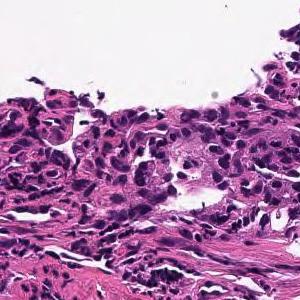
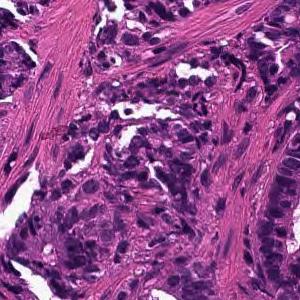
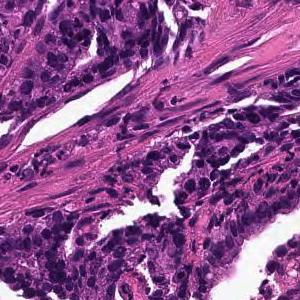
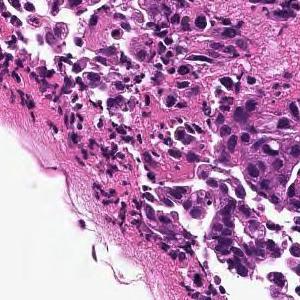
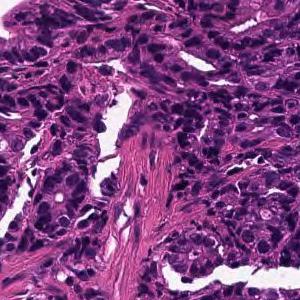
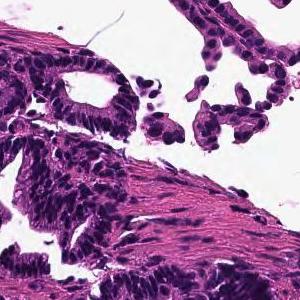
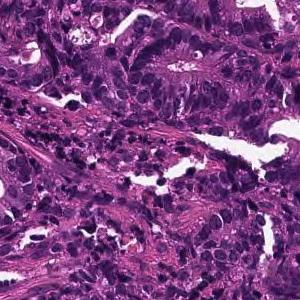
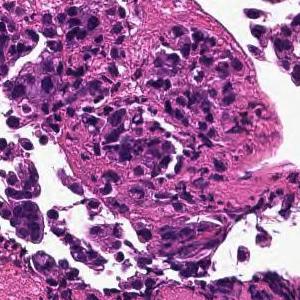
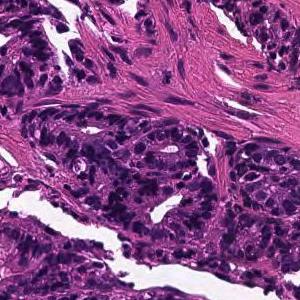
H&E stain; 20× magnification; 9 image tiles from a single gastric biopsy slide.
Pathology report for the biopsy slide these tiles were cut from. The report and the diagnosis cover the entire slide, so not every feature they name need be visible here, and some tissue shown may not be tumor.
In the superficial epithelium, tumor tissue that invades by forming medium-sized to small, irregular ducts is observed. moderately differentiated tubular adenocarcinoma.
